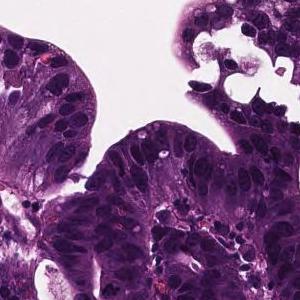
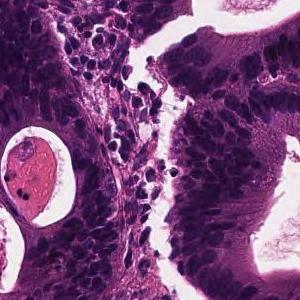
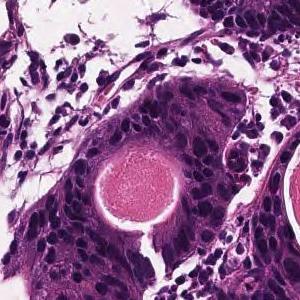
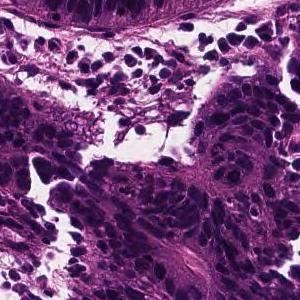
4 tiles from the same stomach biopsy slide, each 300 × 300 pixels, 20× magnification.
Pathology report for the biopsy slide these tiles were cut from. The report and the diagnosis describe the slide as a whole, so these tiles may not show every feature named and may include non-tumor tissue.
In the superficial epithelium, tumor tissue that invades by forming medium-sized to small, irregular ducts is observed. moderately differentiated tubular adenocarcinoma.
